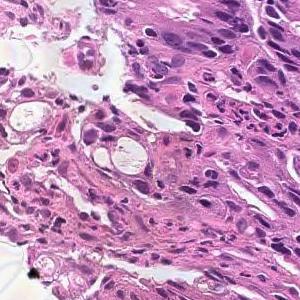
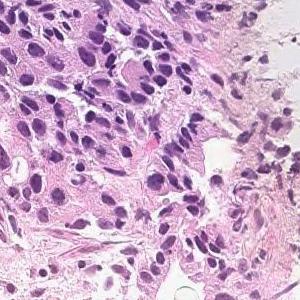
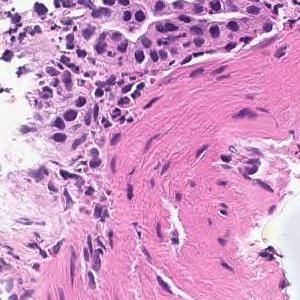
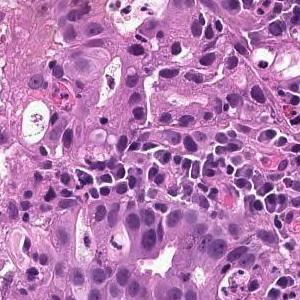
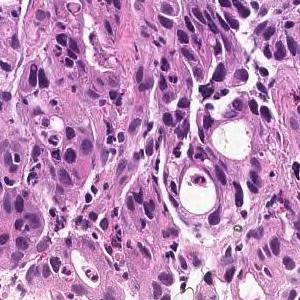
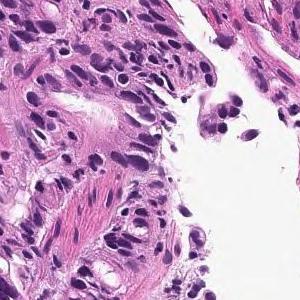
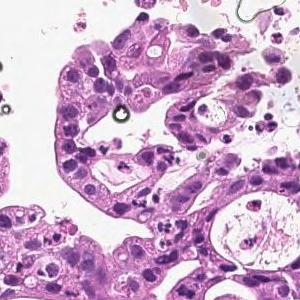
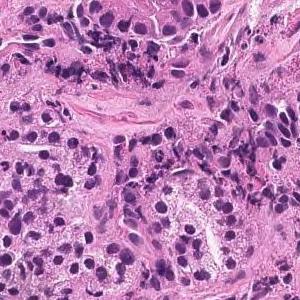
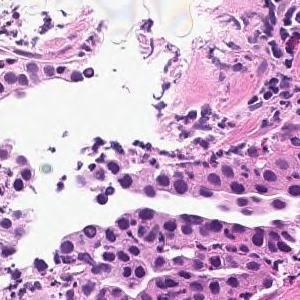
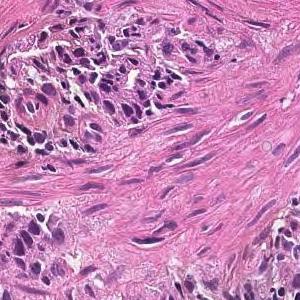
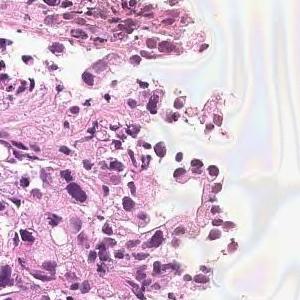
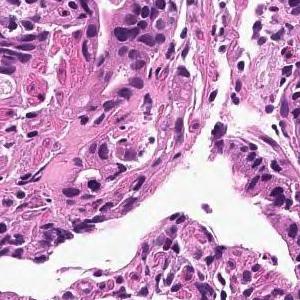
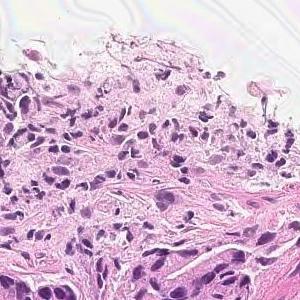
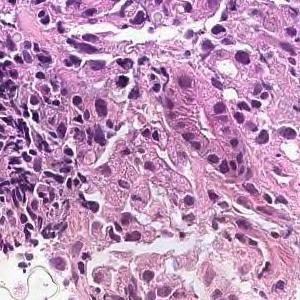
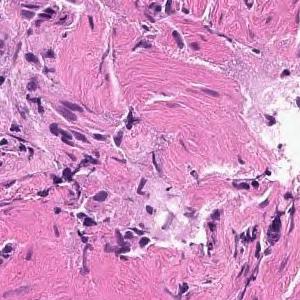
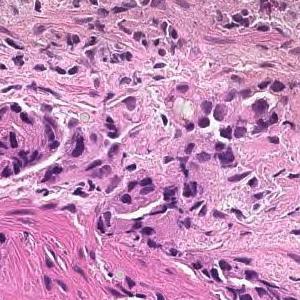
20× magnification · H&E · 16 patches cut from one gastric biopsy slide · each 300 × 300 pixels.
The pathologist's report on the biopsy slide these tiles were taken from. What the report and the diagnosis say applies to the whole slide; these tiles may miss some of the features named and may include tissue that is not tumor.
On the superficial epithelium, tumor tissue consisting of large irregular glandular ducts partially fused and infiltrated is observed. Well to moderately differentiated tubular adenocarcinoma (well differentiated tubular adenocarcinoma, moderately differentiated tubular adenocarcinoma)
Classified as well to moderately differentiated tubular adenocarcinoma.
